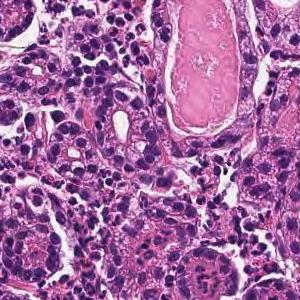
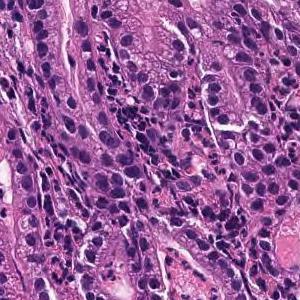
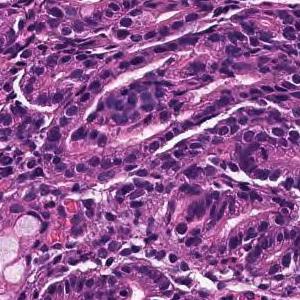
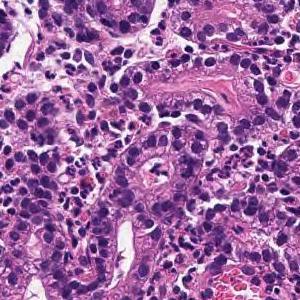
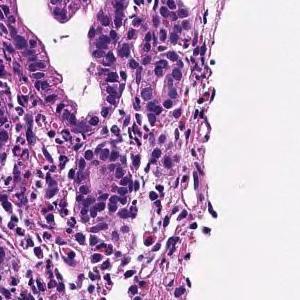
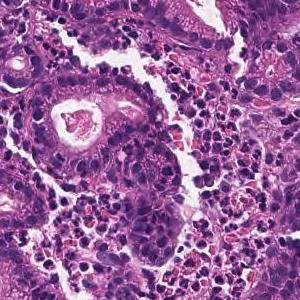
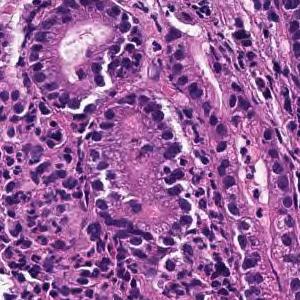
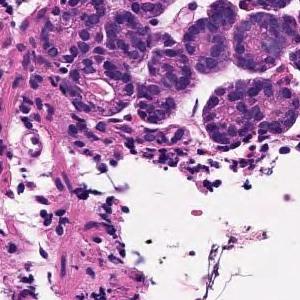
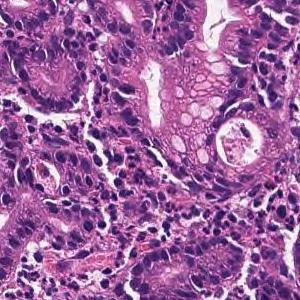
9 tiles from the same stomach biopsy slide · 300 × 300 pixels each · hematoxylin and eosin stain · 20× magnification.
Report on the slide these tiles come from. The report describes the whole slide, diagnosis included: not every finding it names need appear in these tiles, which may also show non-tumor tissue.
Tumor tissue infiltrated and proliferated with small to medium-sized irregular tubules is observed in the superficial epithelium. Well differentiated tubular adenocarcinoma
